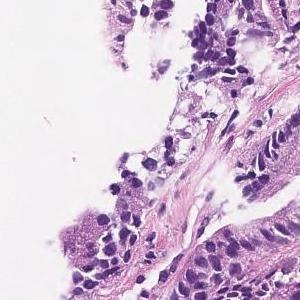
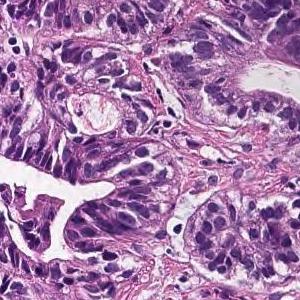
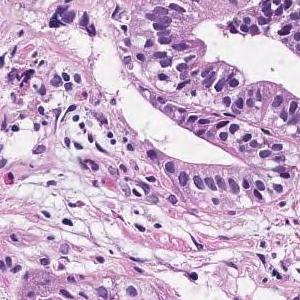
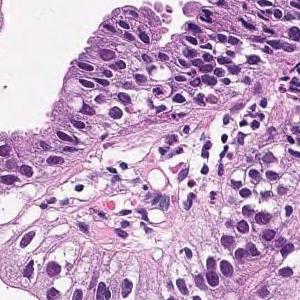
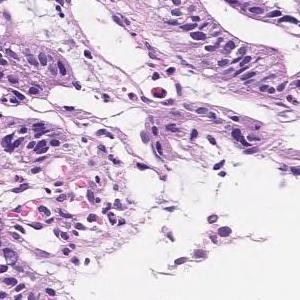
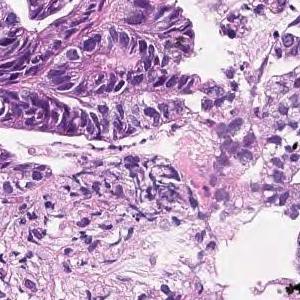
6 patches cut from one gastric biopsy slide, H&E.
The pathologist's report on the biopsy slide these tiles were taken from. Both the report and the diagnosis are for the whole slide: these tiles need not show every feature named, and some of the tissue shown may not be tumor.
In the superficial epithelium, tumor tissue that invades by forming medium-sized to small, irregular ducts is observed. Moderately differentiated adenocarcinoma.
Histological subtype: Moderately differentiated tubular adenocarcinoma.
